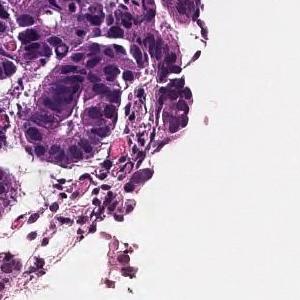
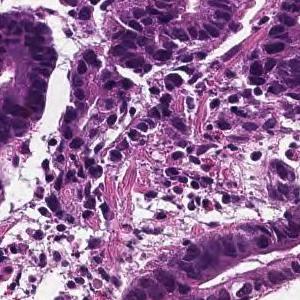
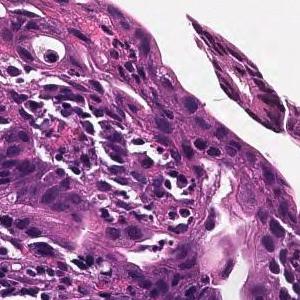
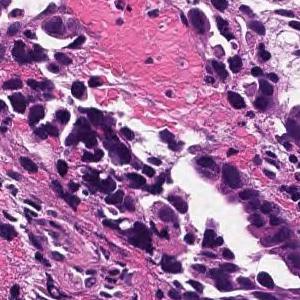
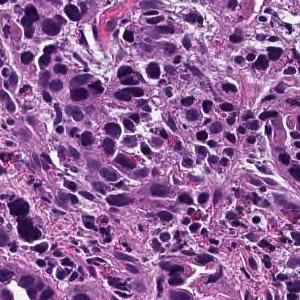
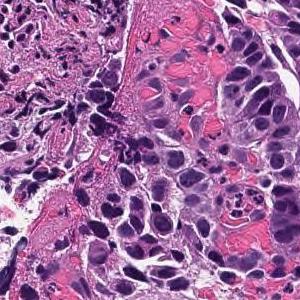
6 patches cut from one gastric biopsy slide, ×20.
Pathology report for the biopsy slide these tiles were cut from. The report and the diagnosis cover the entire slide, so not every feature they name need be visible here, and some tissue shown may not be tumor.
In the superficial epithelium, tumor tissue that invades by forming medium-sized to small, irregular ducts is observed. moderately differentiated tubular adenocarcinoma.
